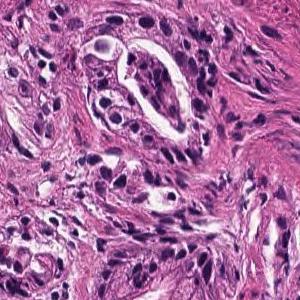
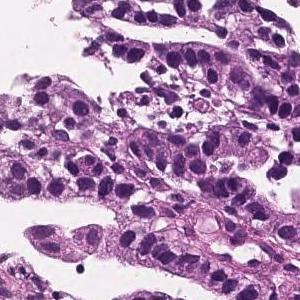
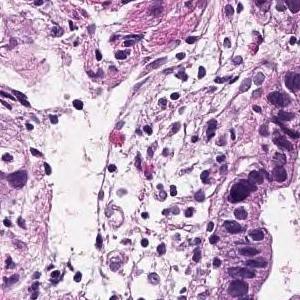
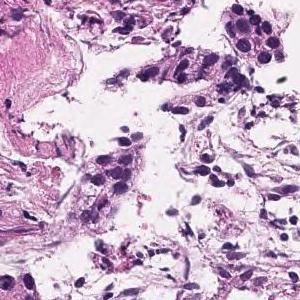
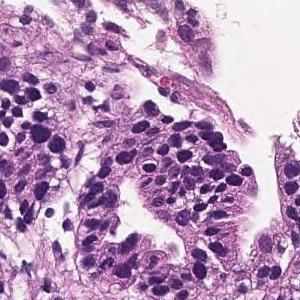
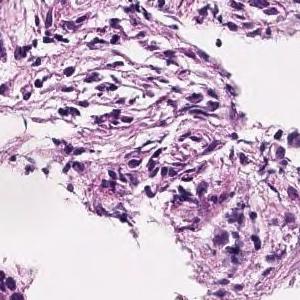
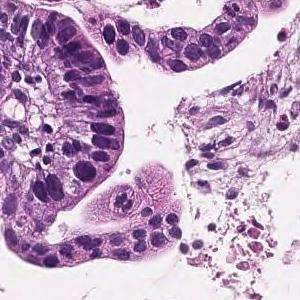
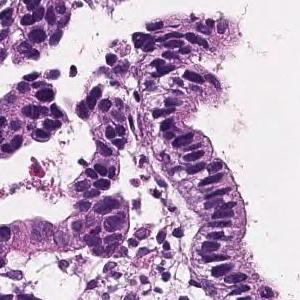
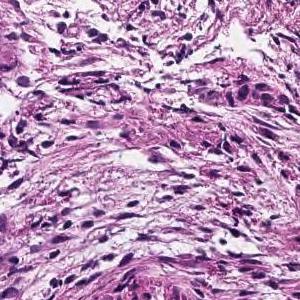
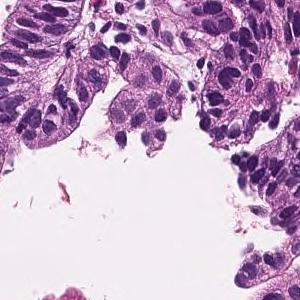
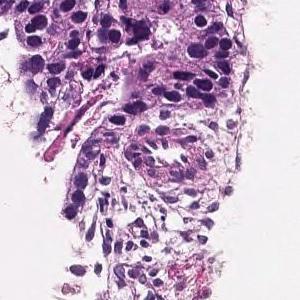
11 image tiles from a single gastric biopsy slide · each 300 × 300 pixels · H&E.
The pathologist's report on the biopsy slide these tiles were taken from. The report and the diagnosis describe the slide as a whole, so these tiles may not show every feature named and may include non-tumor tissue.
On the superficial epithelium, tumor tissue consisting of large, irregular glandular ducts partially fused and infiltrated is observed. Well to moderately differentiated tubular adenocarcinoma (well differentiated tubular adenocarcinoma, moderately differentiated tubular adenocarcinoma)
Classified as well to moderately differentiated tubular adenocarcinoma.
